Scanned at ×20, H&E stain, 14 patches cut from one gastric biopsy slide.
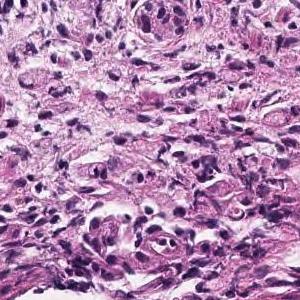
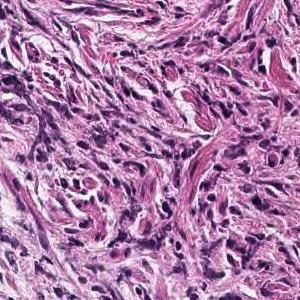
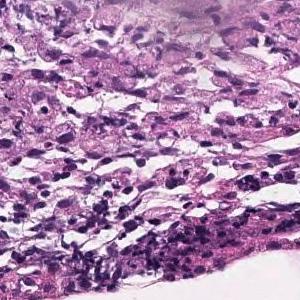
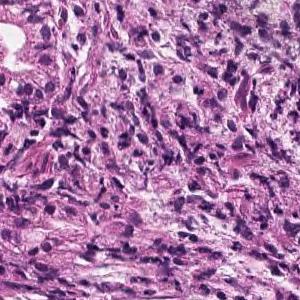
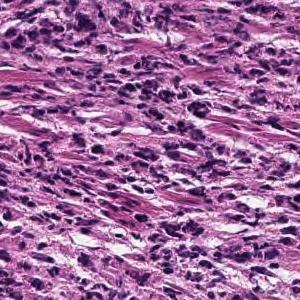
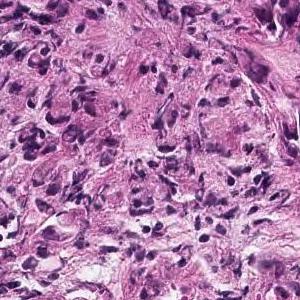
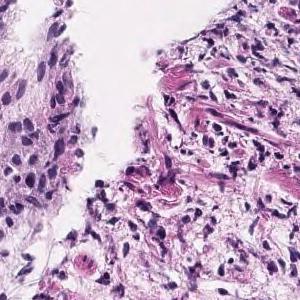
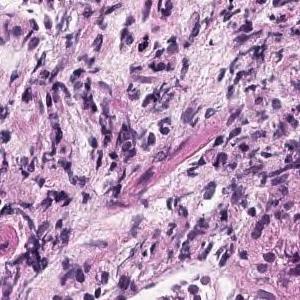
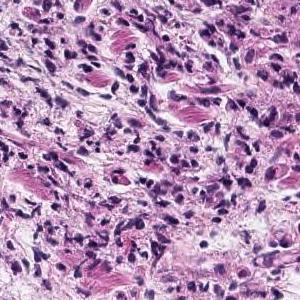
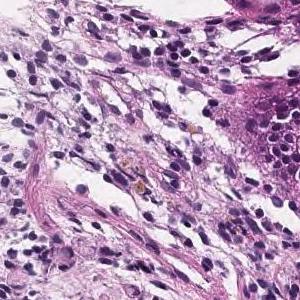
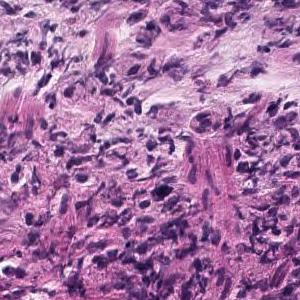
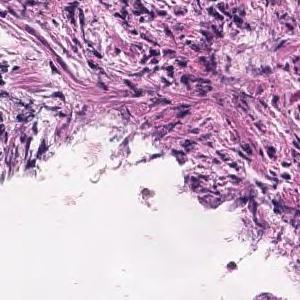
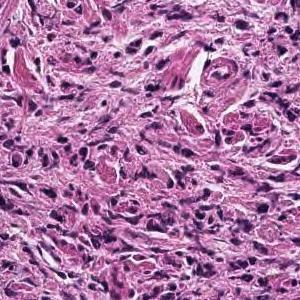
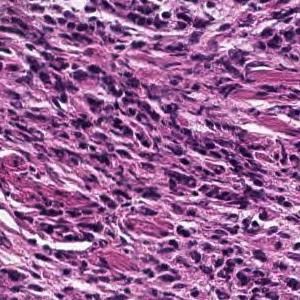
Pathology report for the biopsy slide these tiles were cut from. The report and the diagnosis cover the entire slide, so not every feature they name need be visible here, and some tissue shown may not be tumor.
In the lamina propria, a tumor tissue consisting of signet ring cell type atypical epithelial cells infiltrating is observed. Signet ring cell carcinoma.
